Hematoxylin and eosin stain · scanned at ×20 · 16 tiles cut from one stomach biopsy slide.
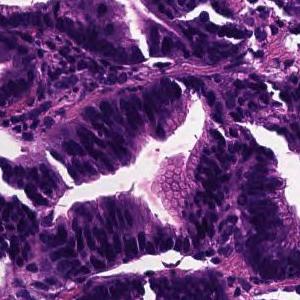
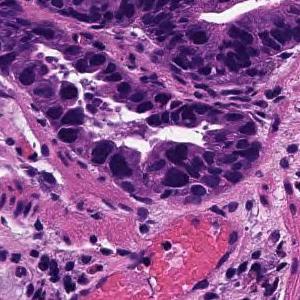
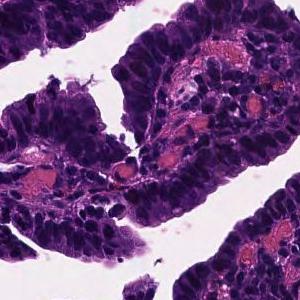
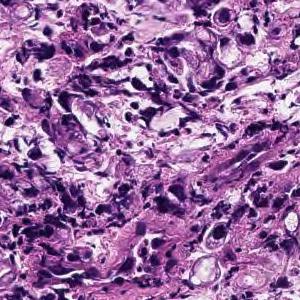
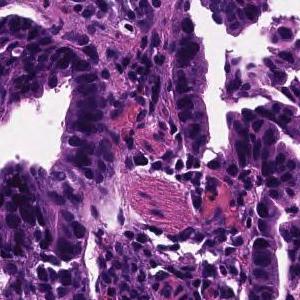
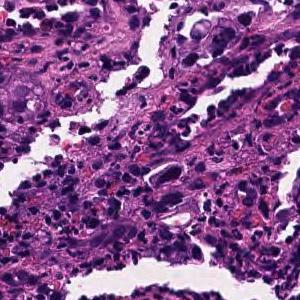
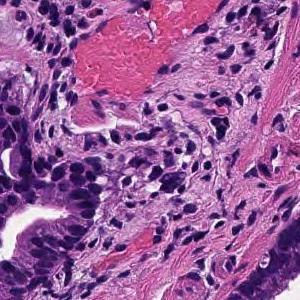
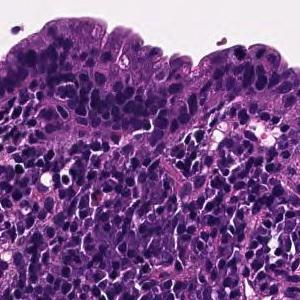
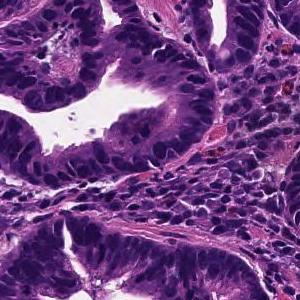
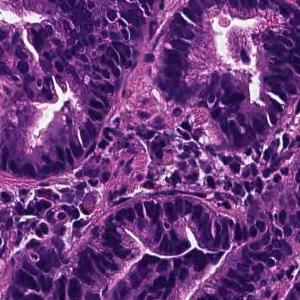
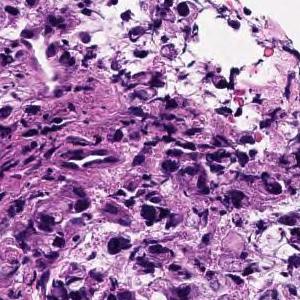
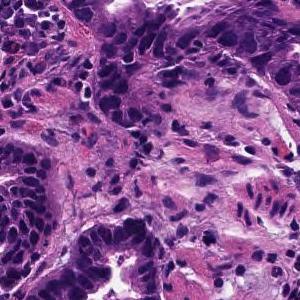
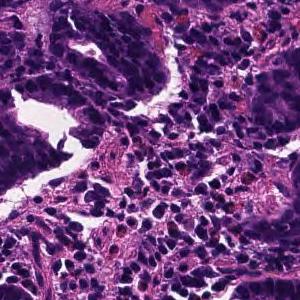
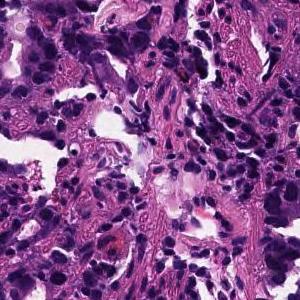
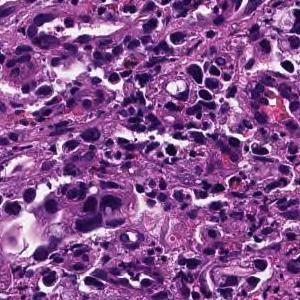
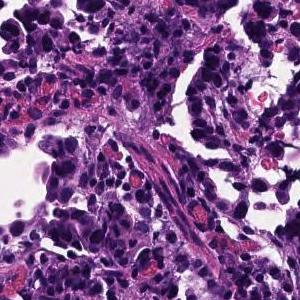
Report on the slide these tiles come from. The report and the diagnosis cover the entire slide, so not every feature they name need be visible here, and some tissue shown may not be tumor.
On the superficial epithelium, tumor tissue that infiltrates by forming medium-sized papillary or small irregular ducts is observed. Papillary adenocarcinoma
